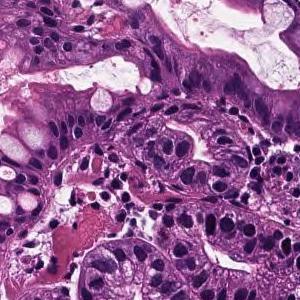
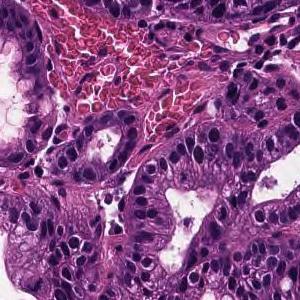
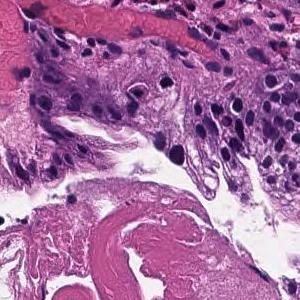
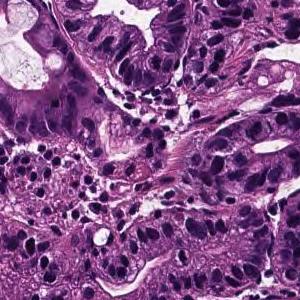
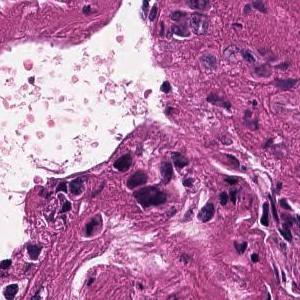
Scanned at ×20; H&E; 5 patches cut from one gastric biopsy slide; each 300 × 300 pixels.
The pathologist's report on the biopsy slide these tiles were taken from. The report and the diagnosis describe the slide as a whole, so these tiles may not show every feature named and may include non-tumor tissue.
On the superficial epithelium, tumor tissue that infiltrates by forming medium-sized papillary or small irregular ducts is observed. Papillary adenocarcinoma
